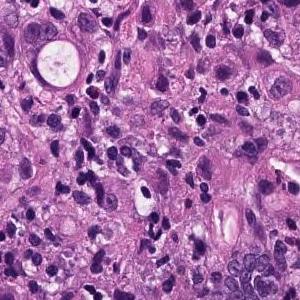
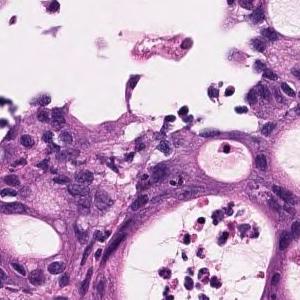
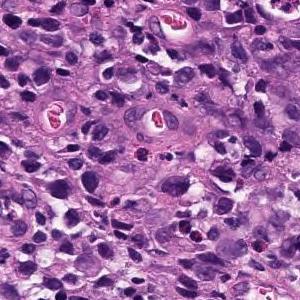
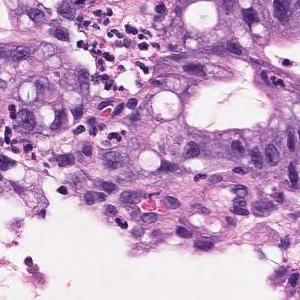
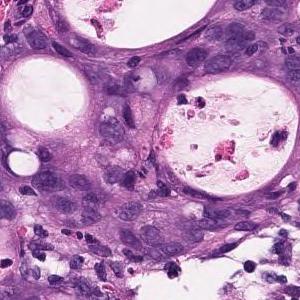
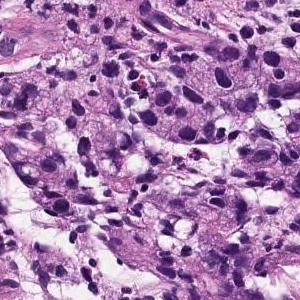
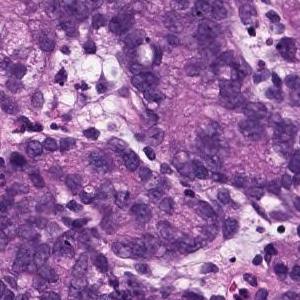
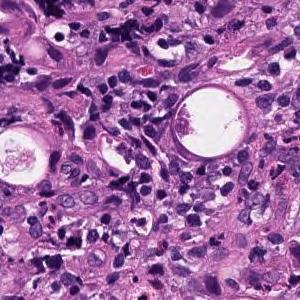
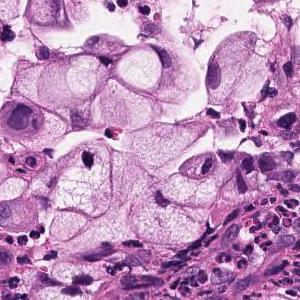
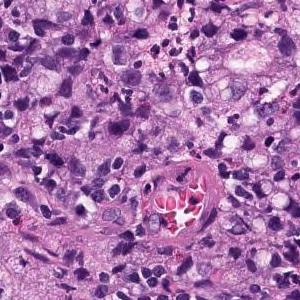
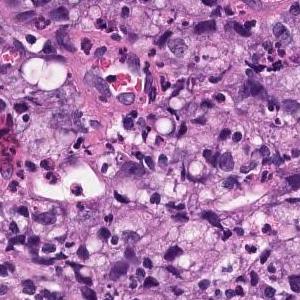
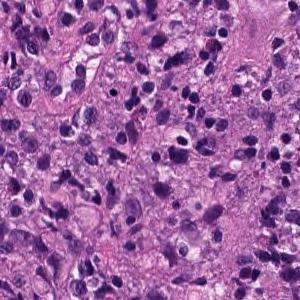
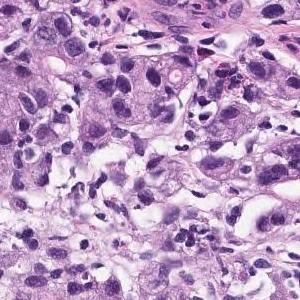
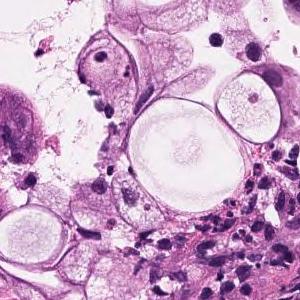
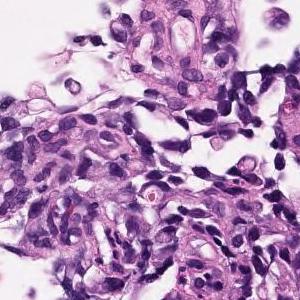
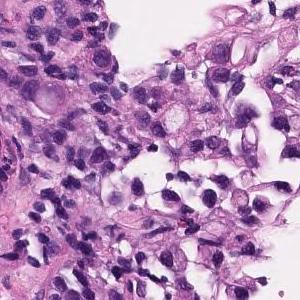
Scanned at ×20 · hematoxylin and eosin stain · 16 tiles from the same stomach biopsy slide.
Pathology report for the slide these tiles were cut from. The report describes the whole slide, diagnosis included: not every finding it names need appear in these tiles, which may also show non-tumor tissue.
Atypical epithelium forms irregularly fused gland ducts and proliferates. Poorly differentiated adenocarcinoma.
Classified as poorly differentiated adenocarcinoma, non-solid type.
The non-solid type named here is a Japanese Classification of Gastric Carcinoma category.
